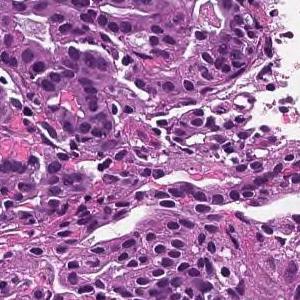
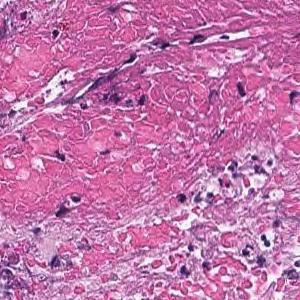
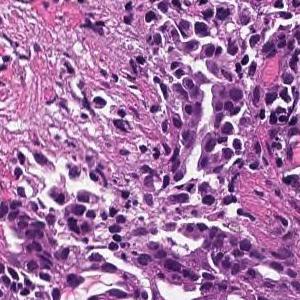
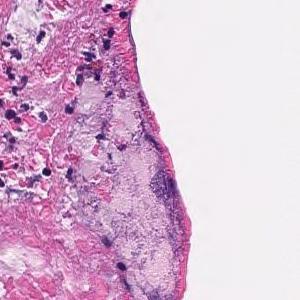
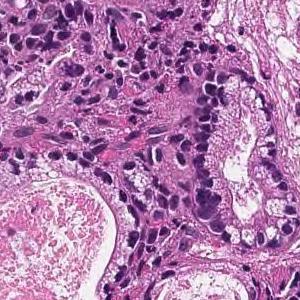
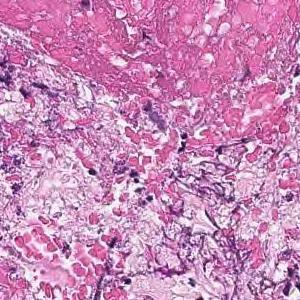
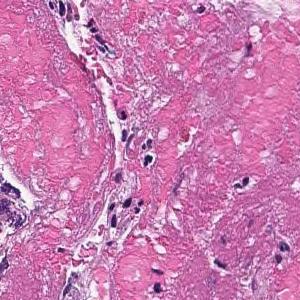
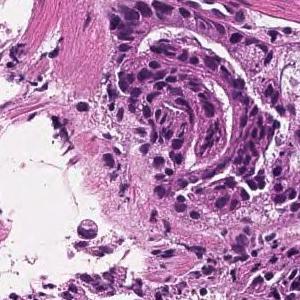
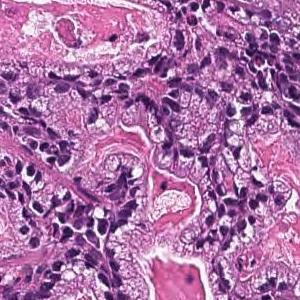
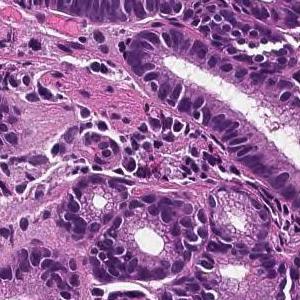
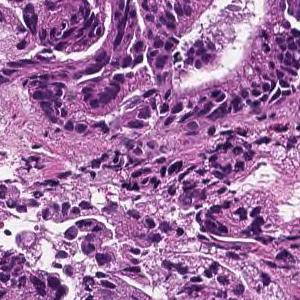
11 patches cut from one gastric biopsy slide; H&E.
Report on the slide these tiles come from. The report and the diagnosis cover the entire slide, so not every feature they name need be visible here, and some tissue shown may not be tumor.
On the superficial epithelium, tumor tissue that infiltrates by forming medium-sized papillary or small irregular ducts is observed. Papillary adenocarcinoma
